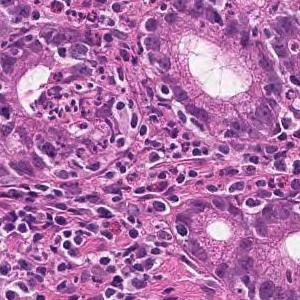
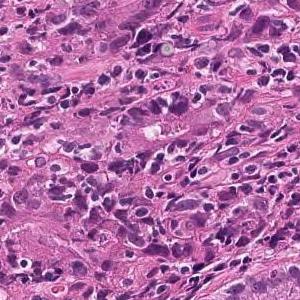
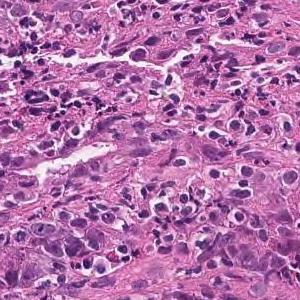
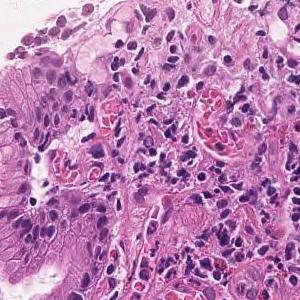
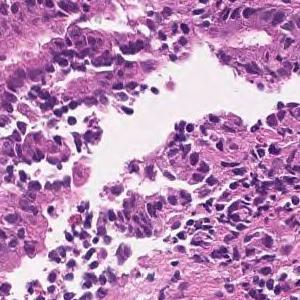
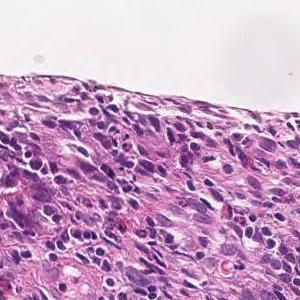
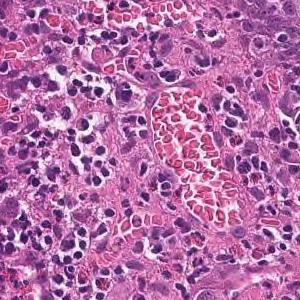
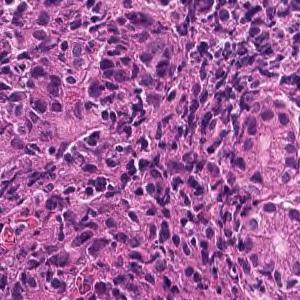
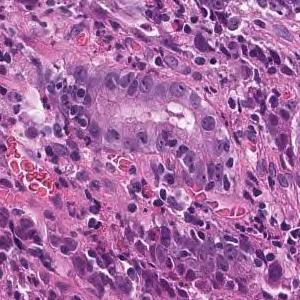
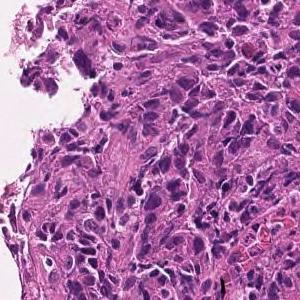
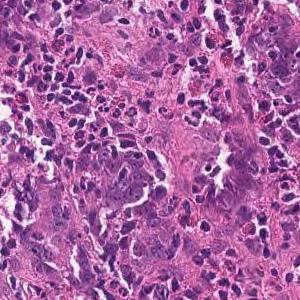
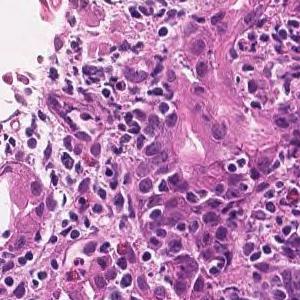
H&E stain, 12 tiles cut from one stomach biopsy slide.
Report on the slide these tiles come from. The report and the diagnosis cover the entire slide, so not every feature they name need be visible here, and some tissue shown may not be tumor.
Tumor tissue consisting of medium-sized, cord-like or irregular glandular infiltration is observed in the superficial epithelium. Poorly differentiated adenocarcinoma, non-solid type or moderately differentiated tubular adenocarcinoma
Dataset label: poorly differentiated adenocarcinoma, non-solid type.
"Non-solid type" is a category of the Japanese Classification of Gastric Carcinoma.
